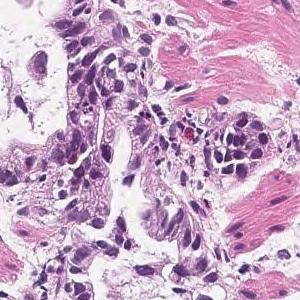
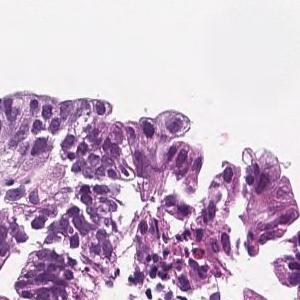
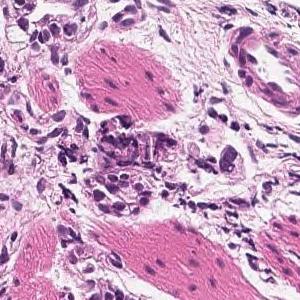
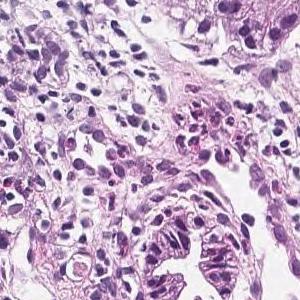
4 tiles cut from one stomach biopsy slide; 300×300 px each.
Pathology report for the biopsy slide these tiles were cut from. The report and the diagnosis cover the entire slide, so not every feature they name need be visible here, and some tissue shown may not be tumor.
In the superficial epithelium, tumor tissue that invades by forming medium-sized to small, irregular ducts is observed. moderately differentiated tubular adenocarcinoma.
